5 tiles from the same stomach biopsy slide · 300 × 300 pixels each · 20× magnification · H&E.
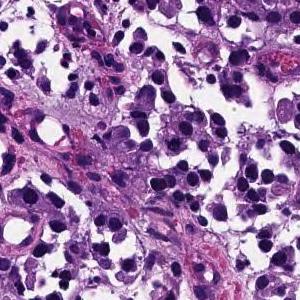
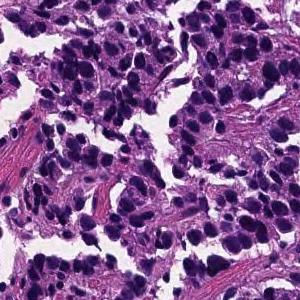
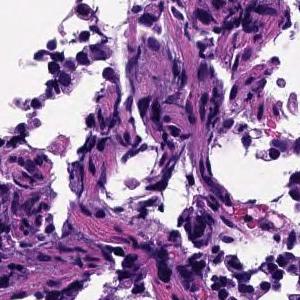
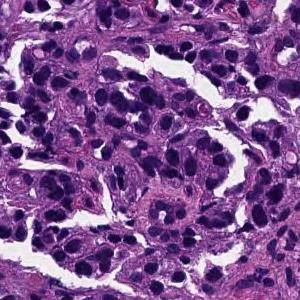
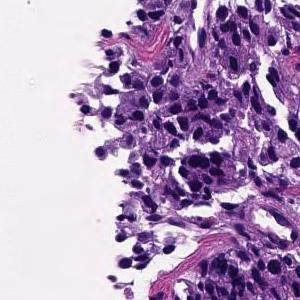
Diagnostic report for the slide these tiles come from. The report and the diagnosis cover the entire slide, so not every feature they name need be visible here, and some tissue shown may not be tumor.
The superficial epithelium shows a large alveolar shape and infiltrates tumor tissue. Poorly differentiated adenocarcinoma, solid-type
Tumor subtype: poorly differentiated adenocarcinoma, solid type (Japanese Classification of Gastric Carcinoma). The WHO 2019 equivalent is tubular adenocarcinoma, poorly differentiated.
